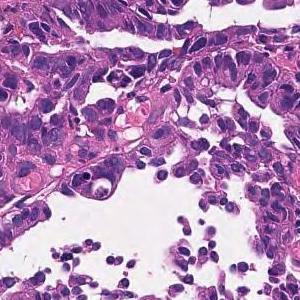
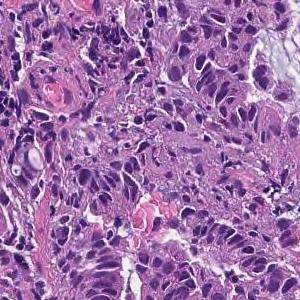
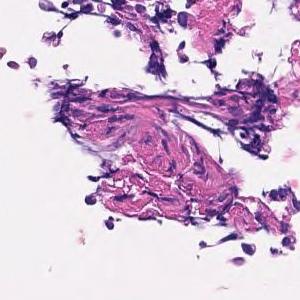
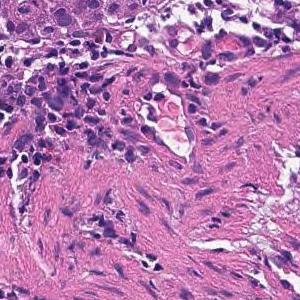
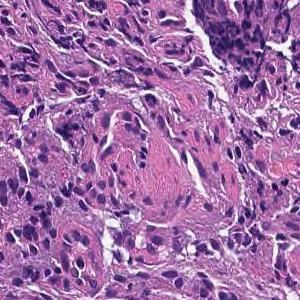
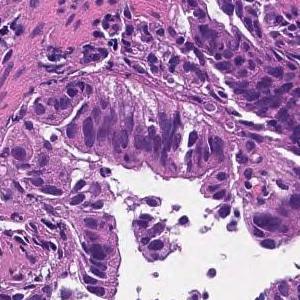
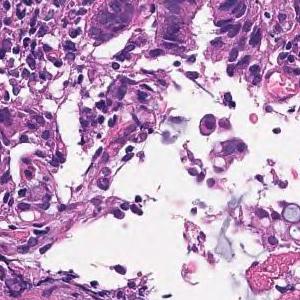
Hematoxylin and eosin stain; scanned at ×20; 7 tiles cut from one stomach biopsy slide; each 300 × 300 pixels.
Diagnostic report for the slide these tiles come from. The findings and the diagnosis refer to the entire slide; these tiles show only part of it, possibly with non-tumor tissue, and may not show every feature named.
On the superficial epithelium, tumor tissue consisting of large, irregular glandular ducts partially fused and infiltrated is observed. Well to moderately differentiated tubular adenocarcinoma (well differentiated tubular adenocarcinoma, moderately differentiated tubular adenocarcinoma)
Subtype: Well to moderately differentiated tubular adenocarcinoma.
